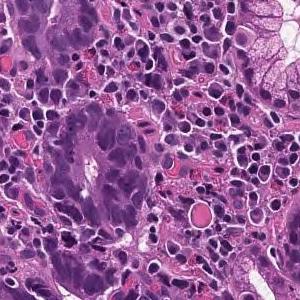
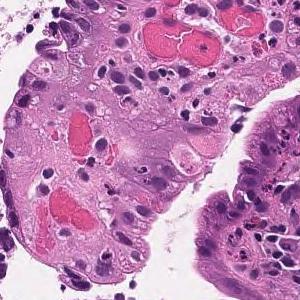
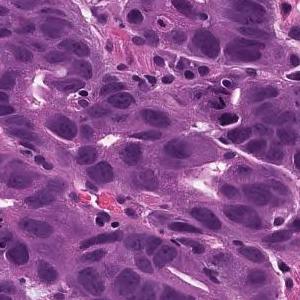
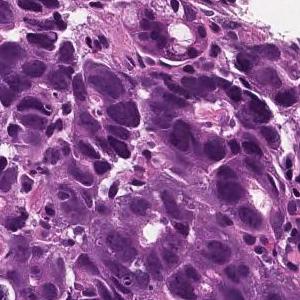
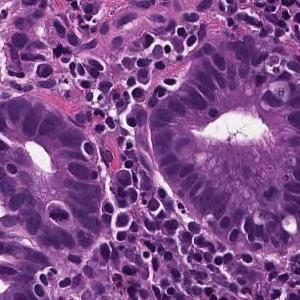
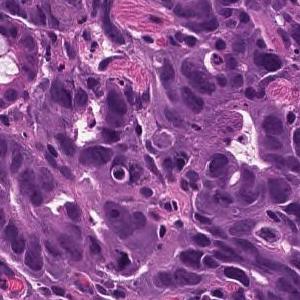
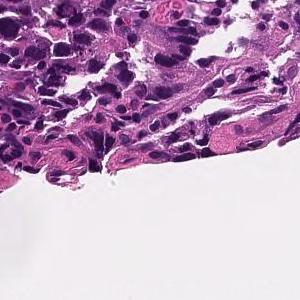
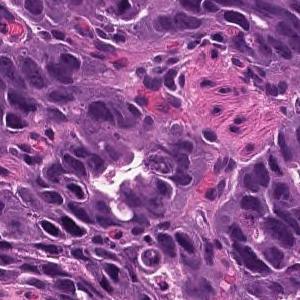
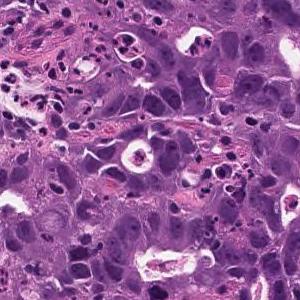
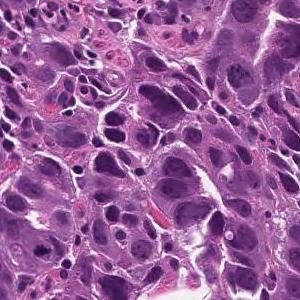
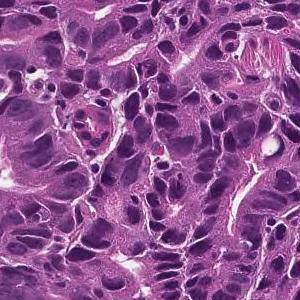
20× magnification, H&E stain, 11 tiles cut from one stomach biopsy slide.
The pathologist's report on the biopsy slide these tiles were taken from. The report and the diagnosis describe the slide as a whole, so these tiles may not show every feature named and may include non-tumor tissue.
On the superficial epithelium, tumor tissue is found in which medium-sized irregular gland ducts fuse with each other and infiltrate. moderately differentiated tubular adenocarcinoma
